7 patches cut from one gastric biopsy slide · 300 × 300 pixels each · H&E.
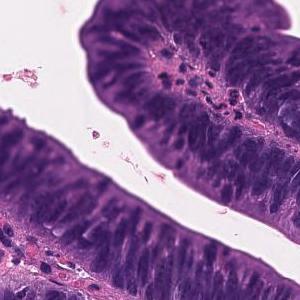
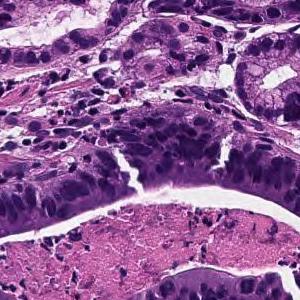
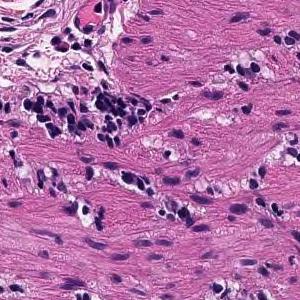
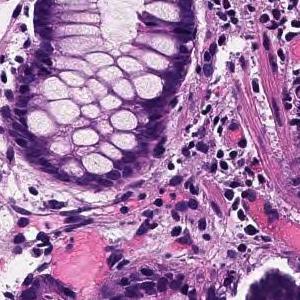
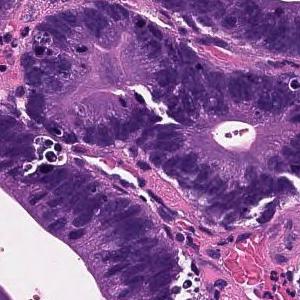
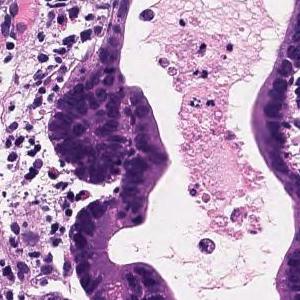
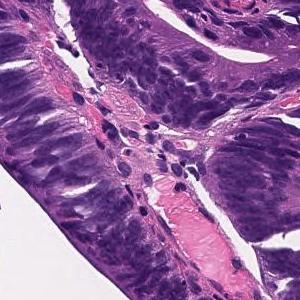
Pathology report for the biopsy slide these tiles were cut from. The findings and the diagnosis refer to the entire slide; these tiles show only part of it, possibly with non-tumor tissue, and may not show every feature named.
Tumor tissue consisting of large papillary structures is found in the superficial epithelium. Papillary adenocarcinoma.
